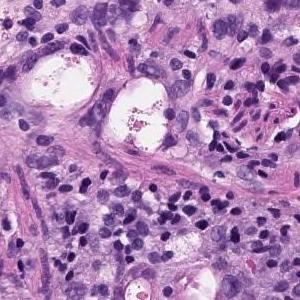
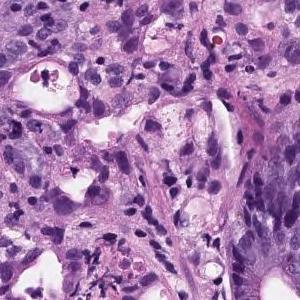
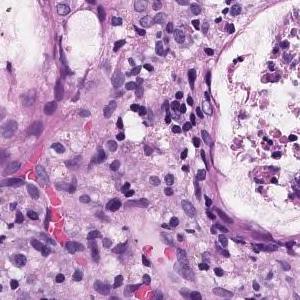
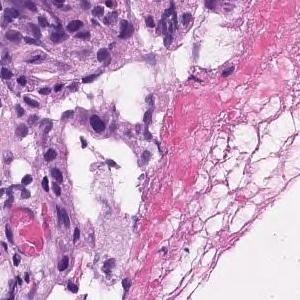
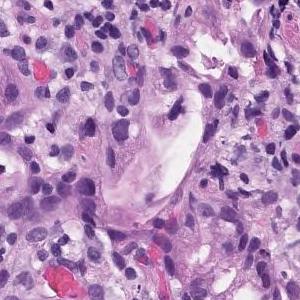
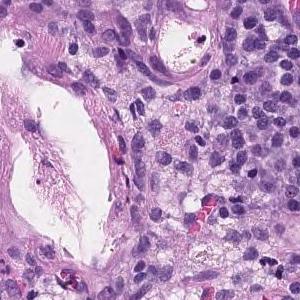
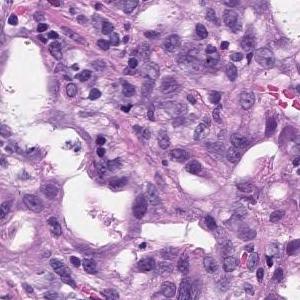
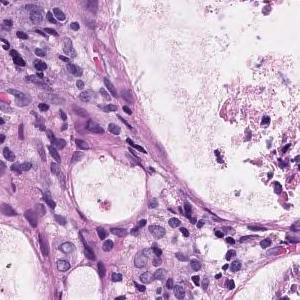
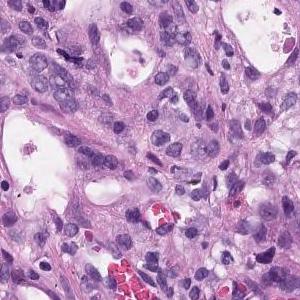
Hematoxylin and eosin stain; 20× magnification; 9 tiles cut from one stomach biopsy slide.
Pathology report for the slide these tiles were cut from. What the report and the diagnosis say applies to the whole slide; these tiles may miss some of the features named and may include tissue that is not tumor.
In the superficial epithelium, tumor tissue that invades by forming medium-sized to small, irregular ducts is observed. Moderately differentiated adenocarcinoma.
Classified as moderately differentiated tubular adenocarcinoma.
